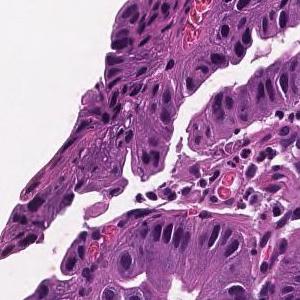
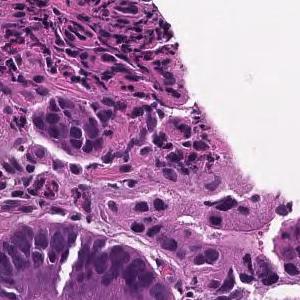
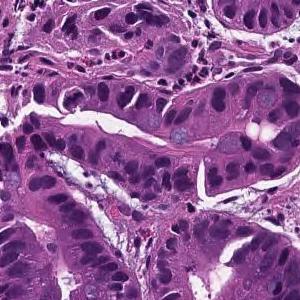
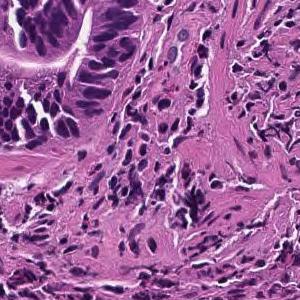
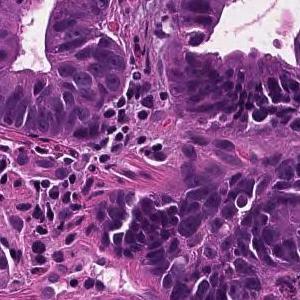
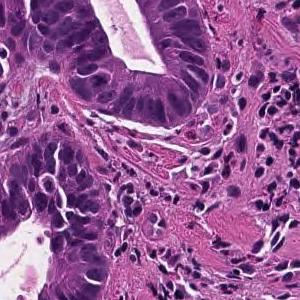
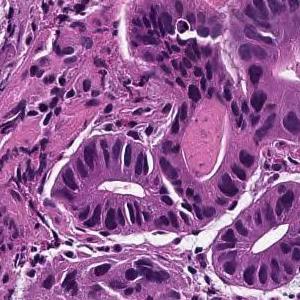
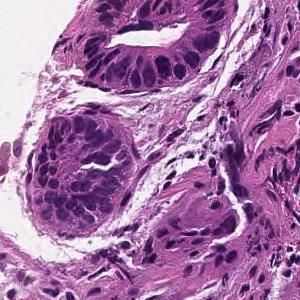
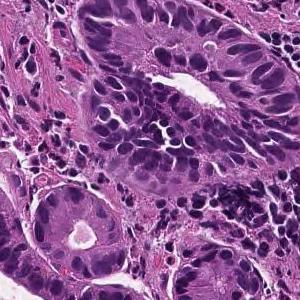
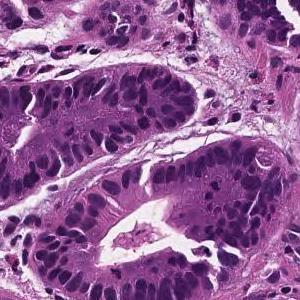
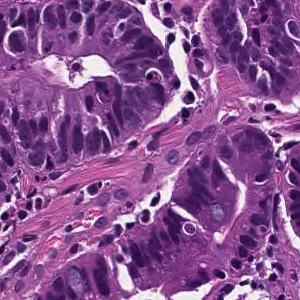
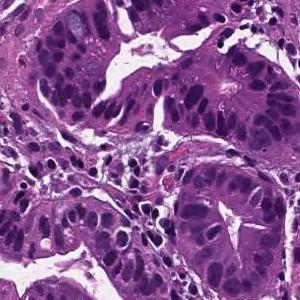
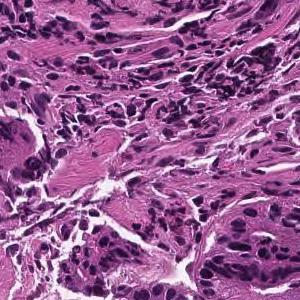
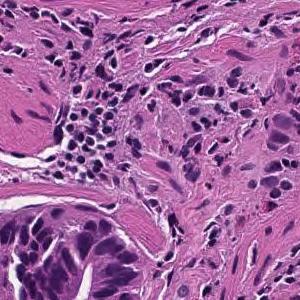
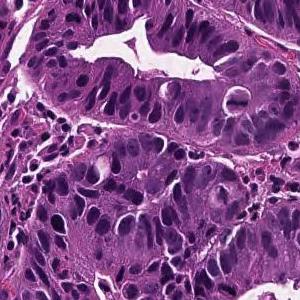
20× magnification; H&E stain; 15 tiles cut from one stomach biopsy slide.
Pathology report for the slide these tiles were cut from. Both the report and the diagnosis are for the whole slide: these tiles need not show every feature named, and some of the tissue shown may not be tumor.
From the superficial epithelium to the muscularis mucosae, tumor tissue consisting of medium-sized and irregular glandular ducts infiltrating is observed. Well differentiated tubular adenocarcinoma
